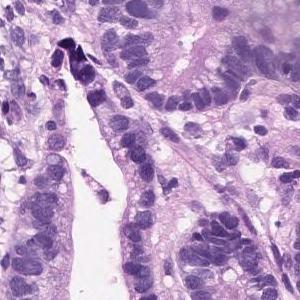
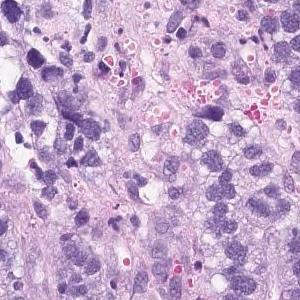
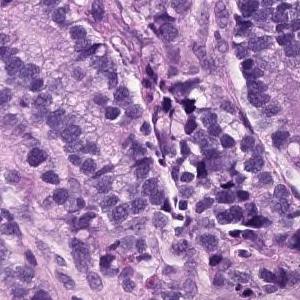
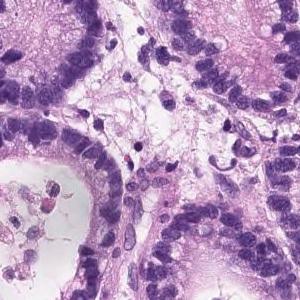
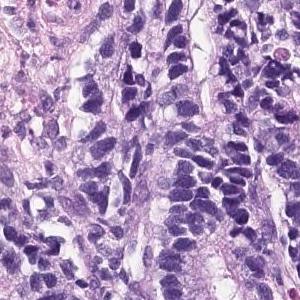
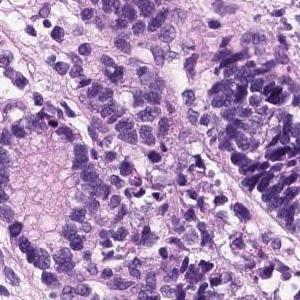
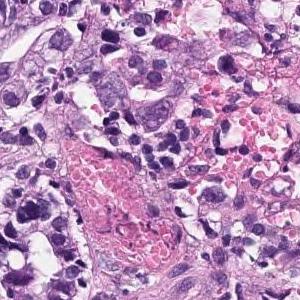
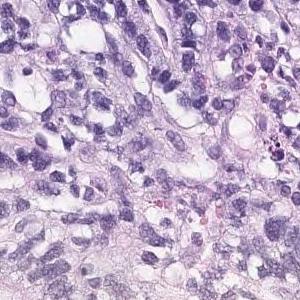
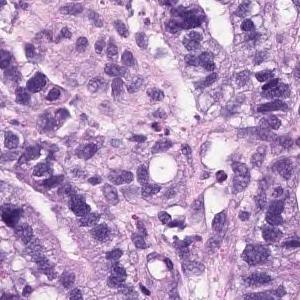
9 tiles from the same stomach biopsy slide; scanned at ×20; H&E.
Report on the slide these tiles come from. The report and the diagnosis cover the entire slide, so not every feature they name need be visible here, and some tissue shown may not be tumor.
Hyperplasia of atypical epithelial cells with swelling of the nucleus is observed. Moderately diffentiated tubular adenocarcinoma
Tumor subtype: moderately differentiated tubular adenocarcinoma.
